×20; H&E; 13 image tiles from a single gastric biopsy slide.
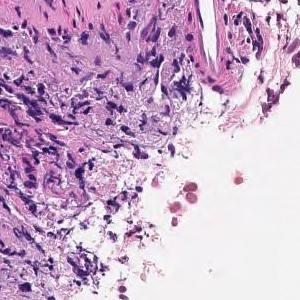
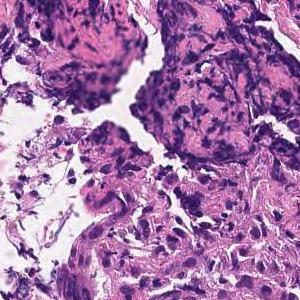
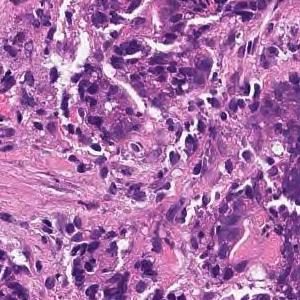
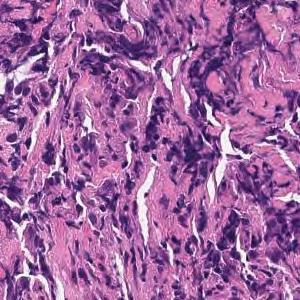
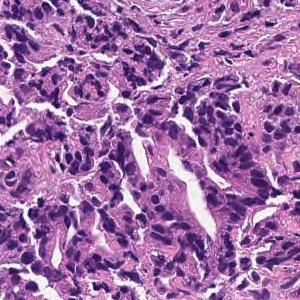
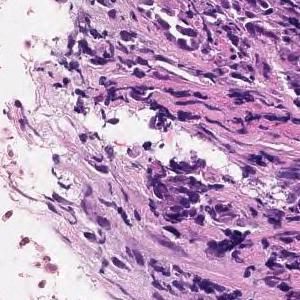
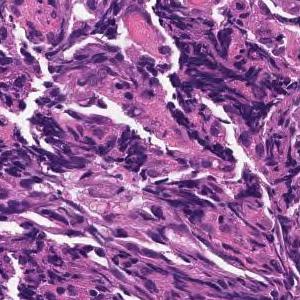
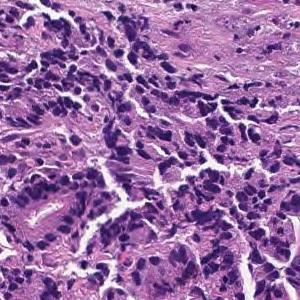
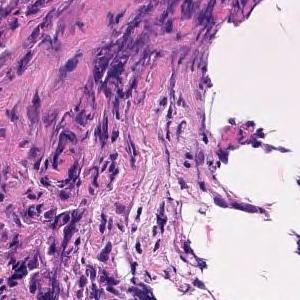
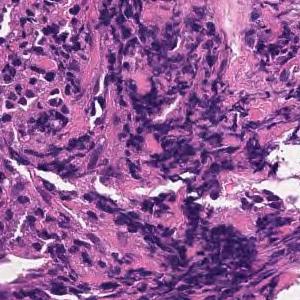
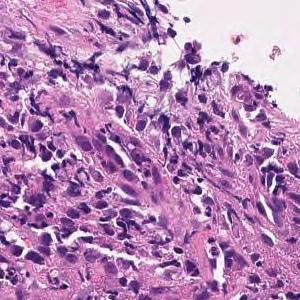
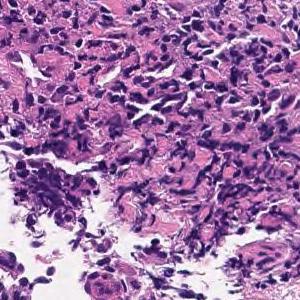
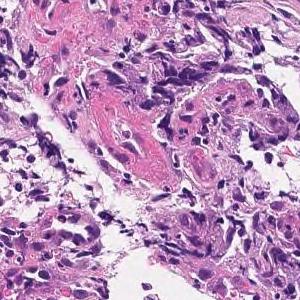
The pathologist's report on the biopsy slide these tiles were taken from. The report describes the whole slide, diagnosis included: not every finding it names need appear in these tiles, which may also show non-tumor tissue.
Tumor tissue consisting of medium-sized, cord-like or irregular glandular infiltration is observed in the superficial epithelium. Poorly differentiated adenocarcinoma, non-solid type or moderately differentiated tubular adenocarcinoma
Tumor subtype: moderately to poorly differentiated adenocarcinoma.
The non-solid type named here is a Japanese Classification of Gastric Carcinoma category.
